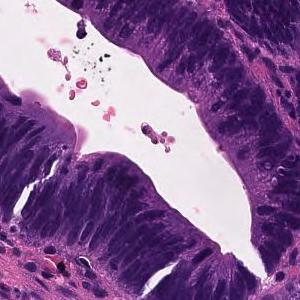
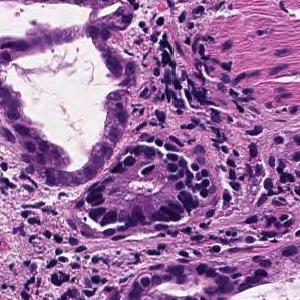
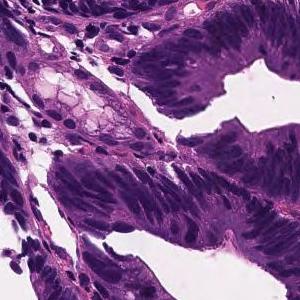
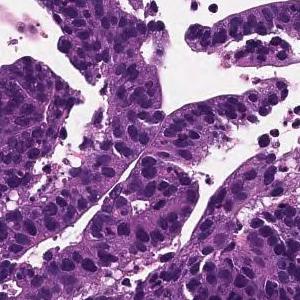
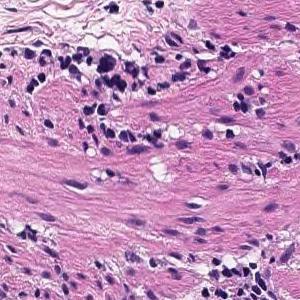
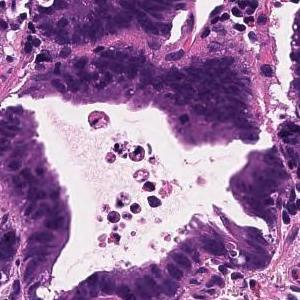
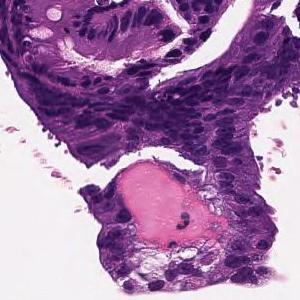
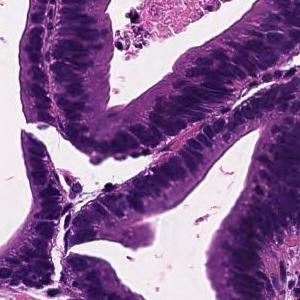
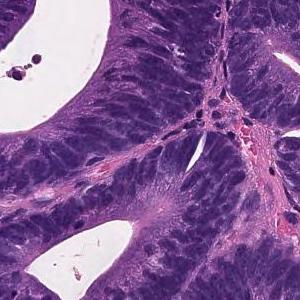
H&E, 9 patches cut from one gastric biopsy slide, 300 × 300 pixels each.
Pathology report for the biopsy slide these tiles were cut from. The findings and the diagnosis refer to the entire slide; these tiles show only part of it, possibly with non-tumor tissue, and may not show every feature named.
Tumor tissue consisting of large papillary structures is found in the superficial epithelium. Papillary adenocarcinoma.
